H&E stain · 5 tiles cut from one stomach biopsy slide.
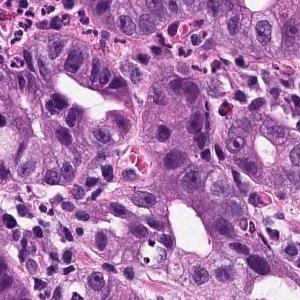
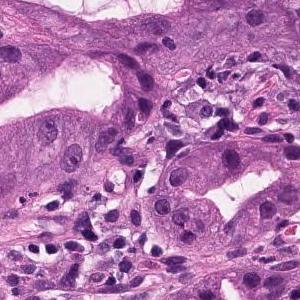
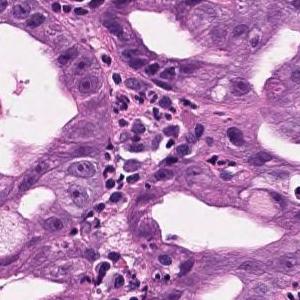
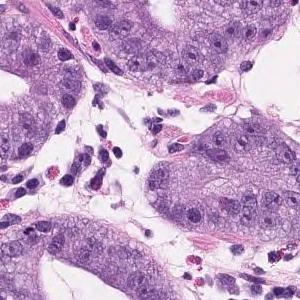
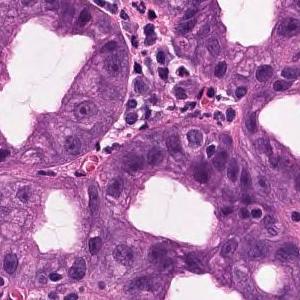
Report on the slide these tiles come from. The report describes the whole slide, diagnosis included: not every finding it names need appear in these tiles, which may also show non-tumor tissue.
In the superficial epithelium, tumor tissue that invades by forming medium-sized to small, irregular ducts is observed. Well to moderately differentiated adenocarcinoma (well differentiated tubular adenocarcinoma, moderately differentiated tubular adenocarcinoma).
Histological subtype: Well to moderately differentiated tubular adenocarcinoma.
